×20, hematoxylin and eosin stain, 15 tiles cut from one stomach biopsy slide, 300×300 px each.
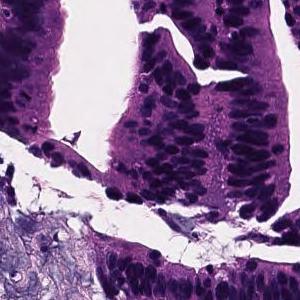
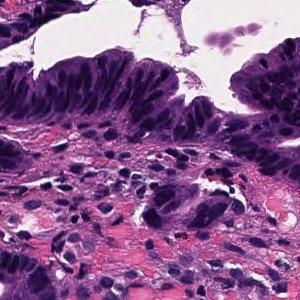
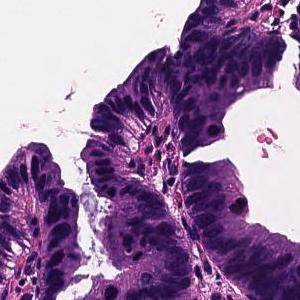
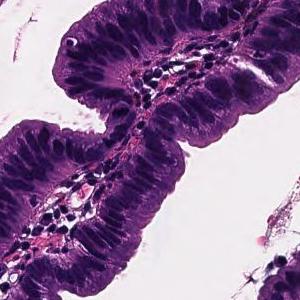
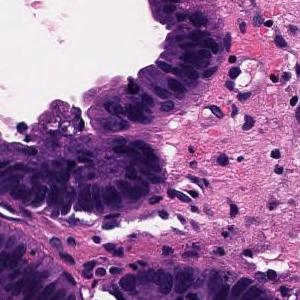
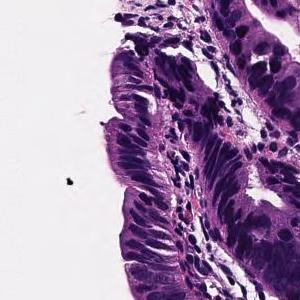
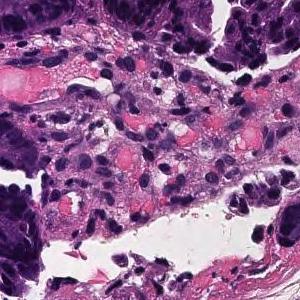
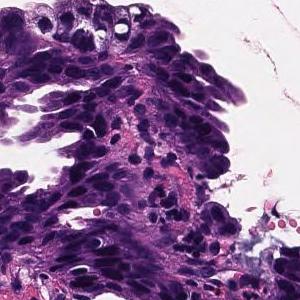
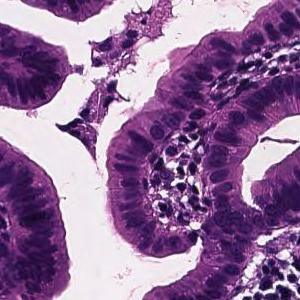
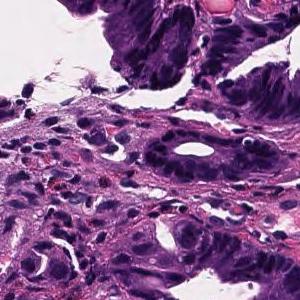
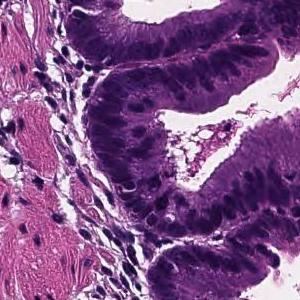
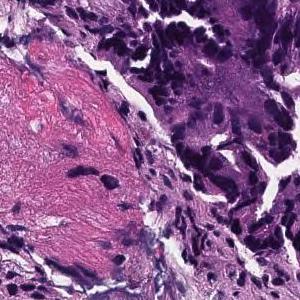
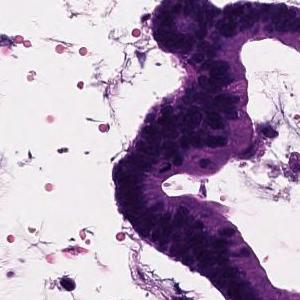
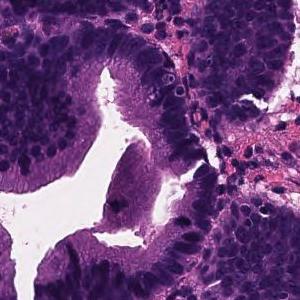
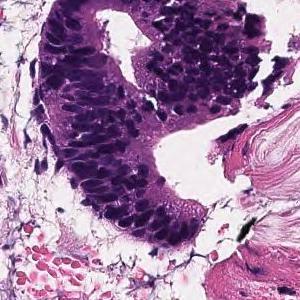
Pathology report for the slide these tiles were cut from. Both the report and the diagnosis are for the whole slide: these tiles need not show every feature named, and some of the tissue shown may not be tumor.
Tumor cells are large, highly columnar, large club-shaped nuclei, and are associated with chromatin aggregation. Papillary adenocarcinoma.
